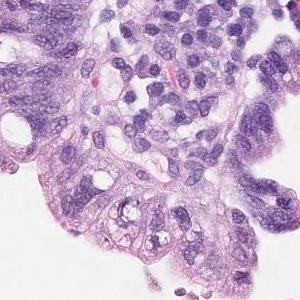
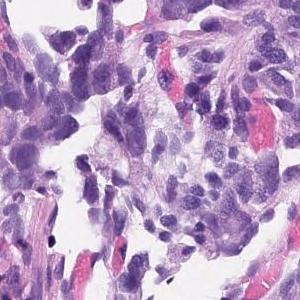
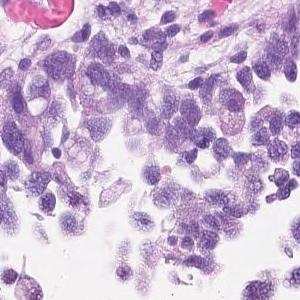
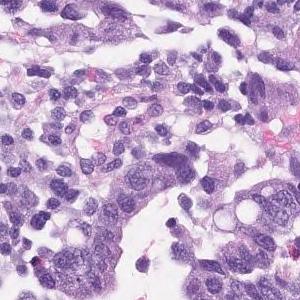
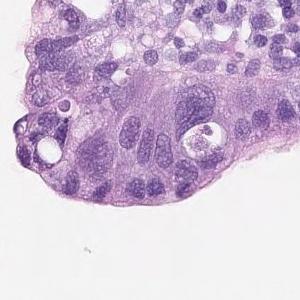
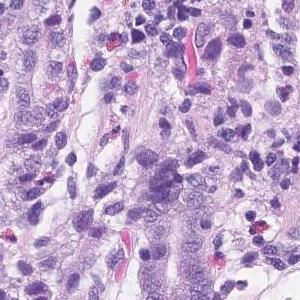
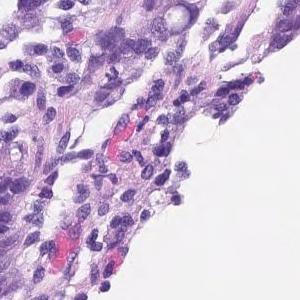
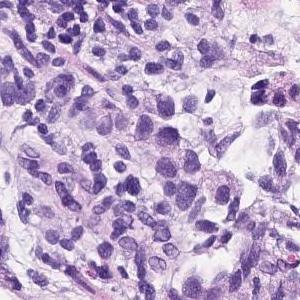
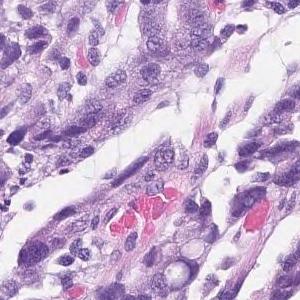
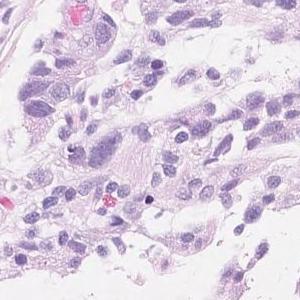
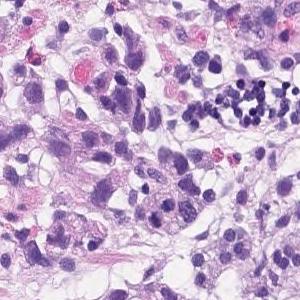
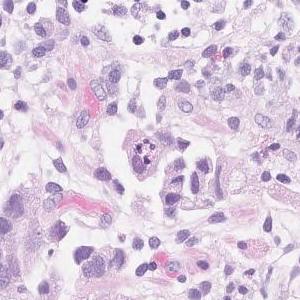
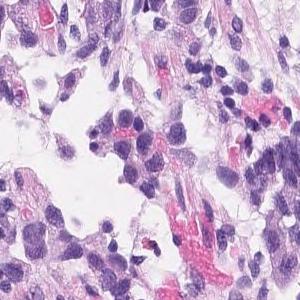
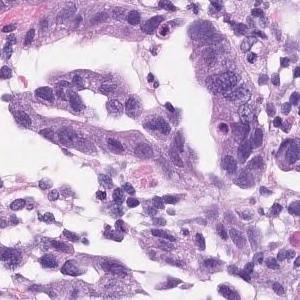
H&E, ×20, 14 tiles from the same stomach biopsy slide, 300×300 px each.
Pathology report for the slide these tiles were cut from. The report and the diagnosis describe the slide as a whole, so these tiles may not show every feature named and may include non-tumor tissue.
Atypical l cells with atypical nuclei forming solid or diffuse vesicles or small irregular atypical ducts and growing in a complex manner. poorly differentiated adenocarcinoma, solid type, moderately differentiated tubular adenocarcinoma.
Subtypes: Poorly differentiated adenocarcinoma, solid type and moderately differentiated tubular adenocarcinoma.
The term "solid type" comes from the Japanese Classification of Gastric Carcinoma; the WHO 2019 equivalent is tubular adenocarcinoma, poorly differentiated.
